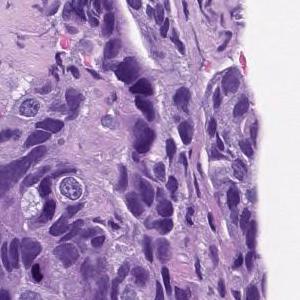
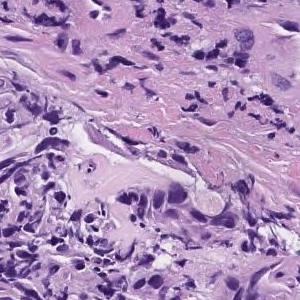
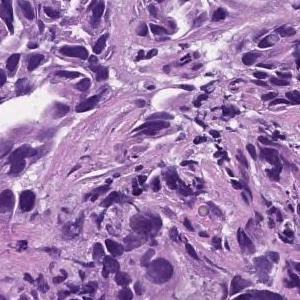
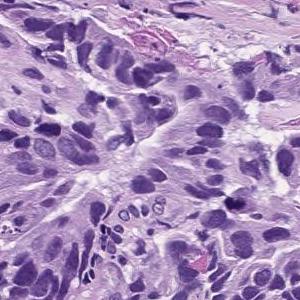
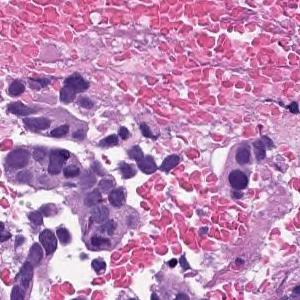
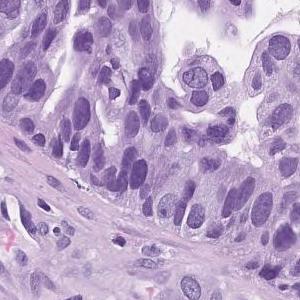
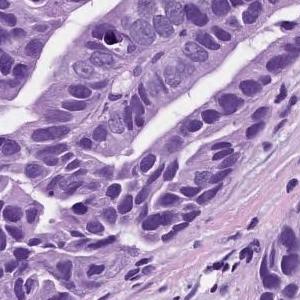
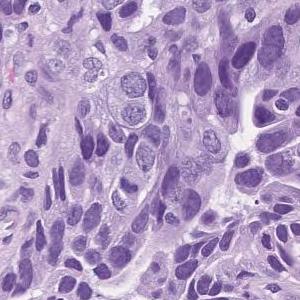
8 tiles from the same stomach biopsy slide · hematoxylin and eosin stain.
The pathologist's report on the biopsy slide these tiles were taken from. The report and the diagnosis cover the entire slide, so not every feature they name need be visible here, and some tissue shown may not be tumor.
In the superficial epithelium, tumor tissue that invades by forming medium-sized to small, irregular ducts is observed. moderately differentiated tubular adenocarcinoma.
